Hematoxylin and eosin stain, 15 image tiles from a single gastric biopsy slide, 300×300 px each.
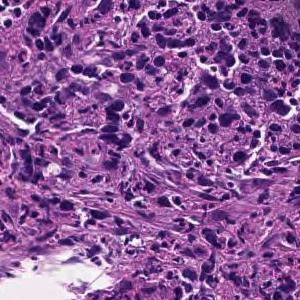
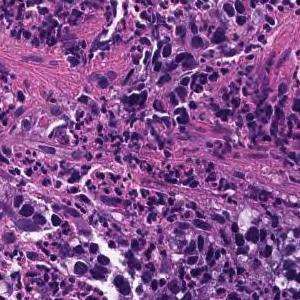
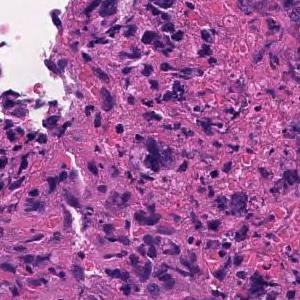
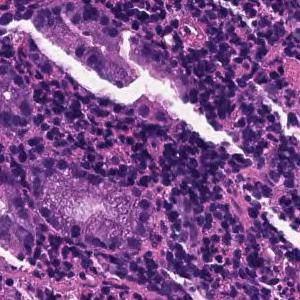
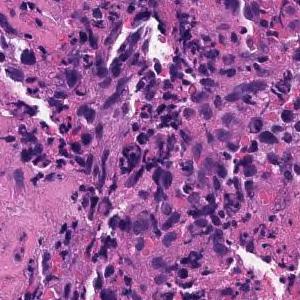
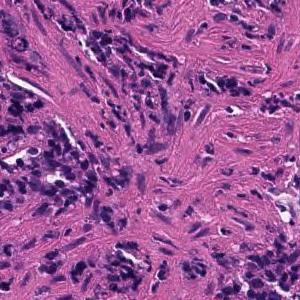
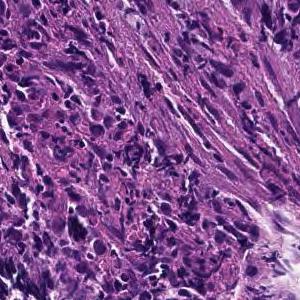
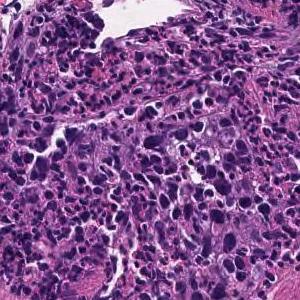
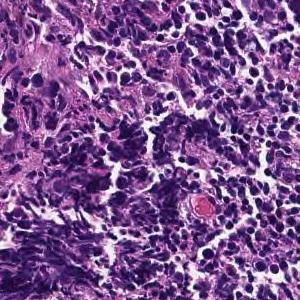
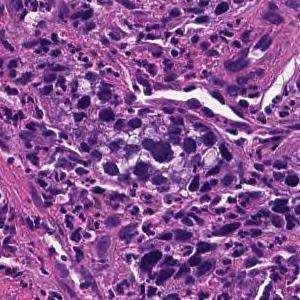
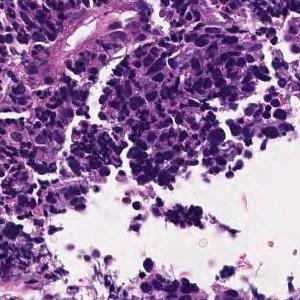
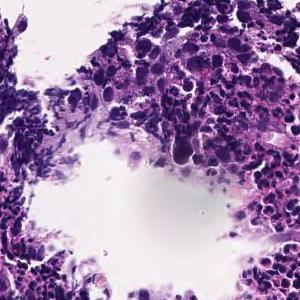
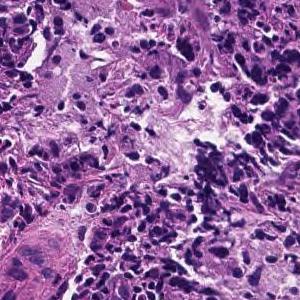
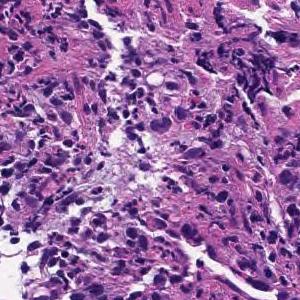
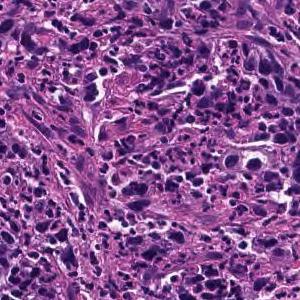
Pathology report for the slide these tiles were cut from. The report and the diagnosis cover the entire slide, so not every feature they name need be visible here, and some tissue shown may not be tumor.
Tumor tissue consisting of cord-like or small, irregular glandular ducts fused and infiltrated is observed in the superficial epithelium. Poorly differentiated adenocarcinoma, non-solid type
The term "non-solid type" comes from the Japanese Classification of Gastric Carcinoma.
